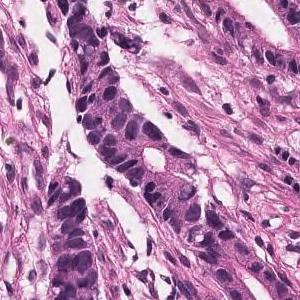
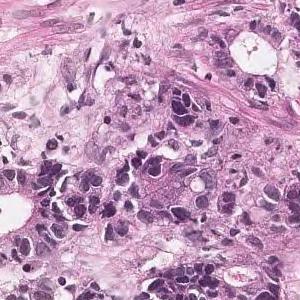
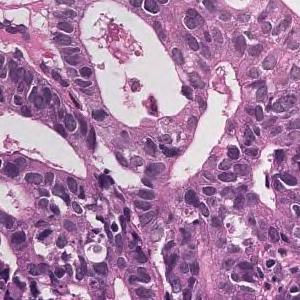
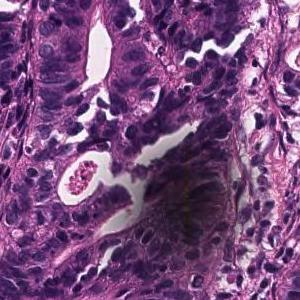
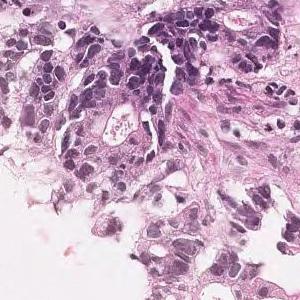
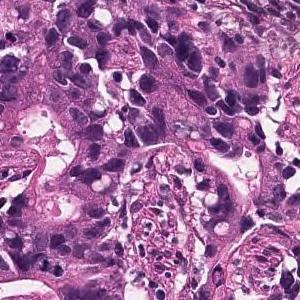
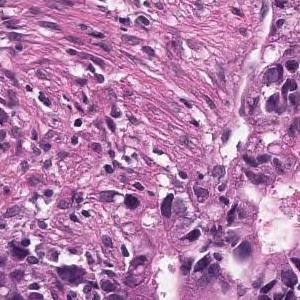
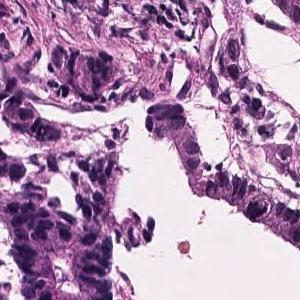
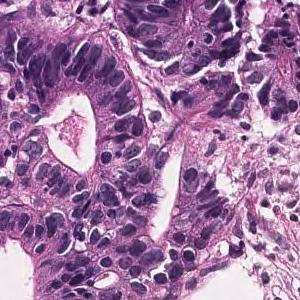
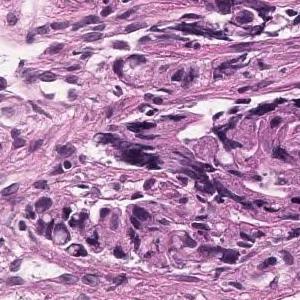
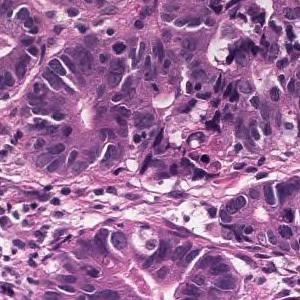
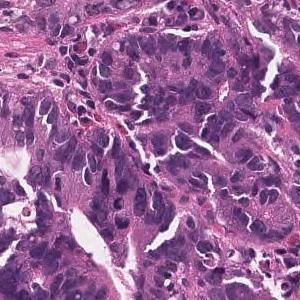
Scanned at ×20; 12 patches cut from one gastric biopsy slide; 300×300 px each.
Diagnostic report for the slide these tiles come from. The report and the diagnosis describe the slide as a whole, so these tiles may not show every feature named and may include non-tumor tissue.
In the superficial epithelium, tumor tissue is found in which medium-sized irregular gland ducts fuse with each other and infiltrate. moderately differentiated tubular adenocarcinoma
